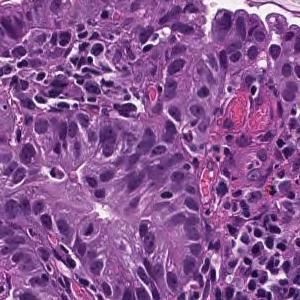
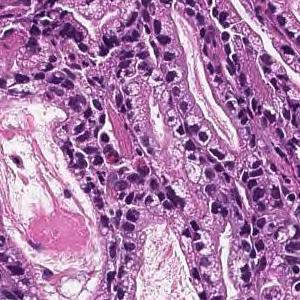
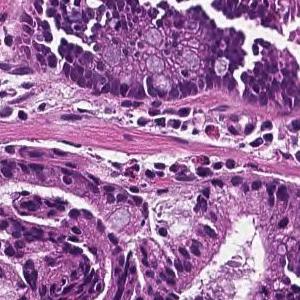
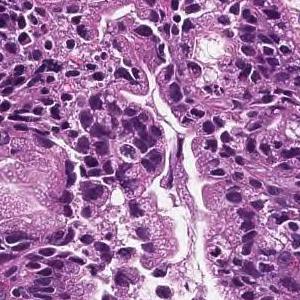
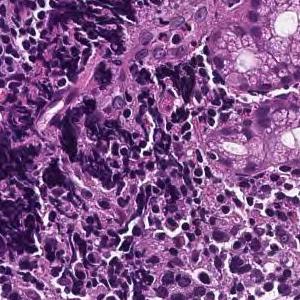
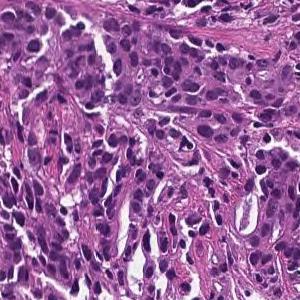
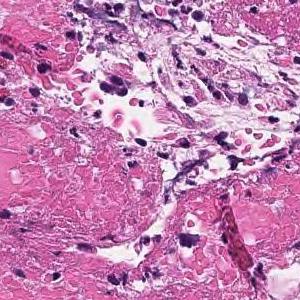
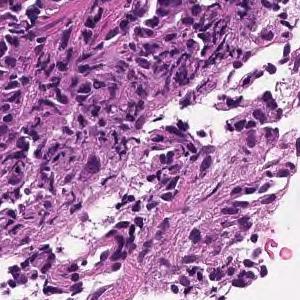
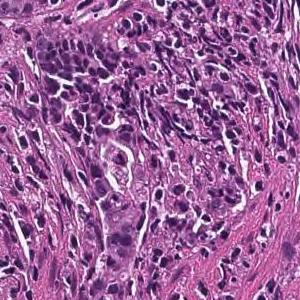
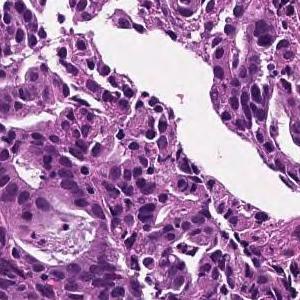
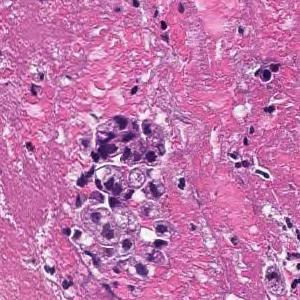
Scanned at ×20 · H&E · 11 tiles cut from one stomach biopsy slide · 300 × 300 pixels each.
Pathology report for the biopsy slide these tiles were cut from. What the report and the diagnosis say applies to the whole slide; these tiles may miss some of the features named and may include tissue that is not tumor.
On the superficial epithelium, tumor tissue that infiltrates by forming medium-sized papillary or small irregular ducts is observed. Papillary adenocarcinoma
